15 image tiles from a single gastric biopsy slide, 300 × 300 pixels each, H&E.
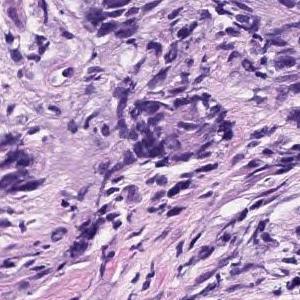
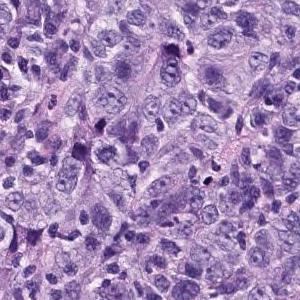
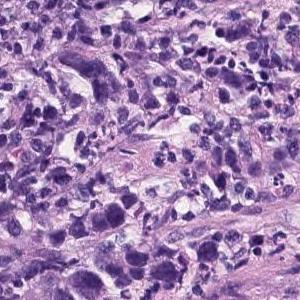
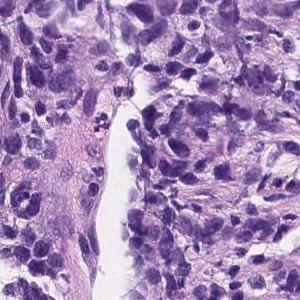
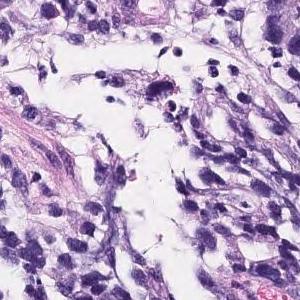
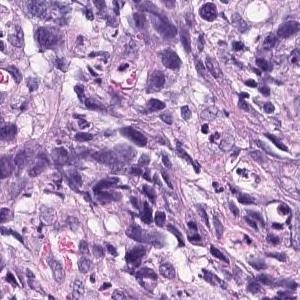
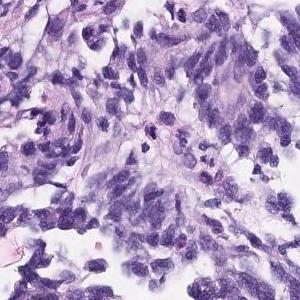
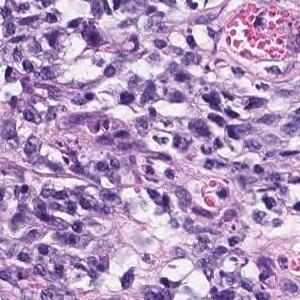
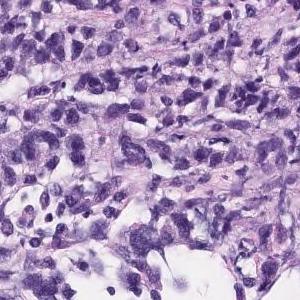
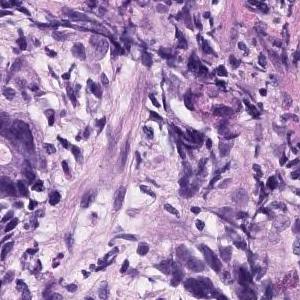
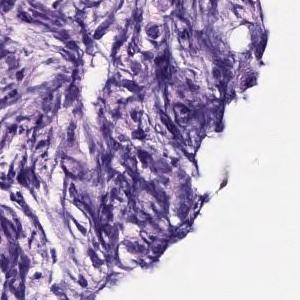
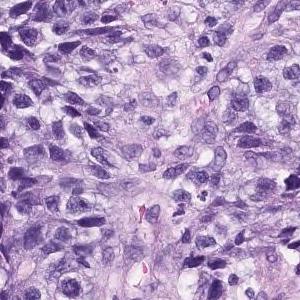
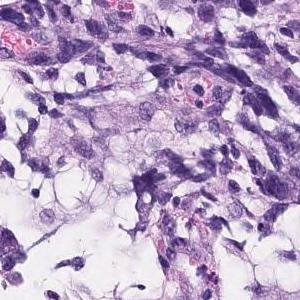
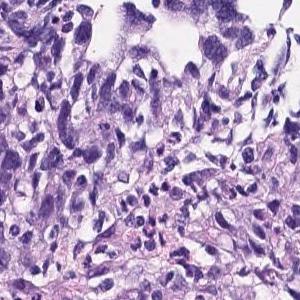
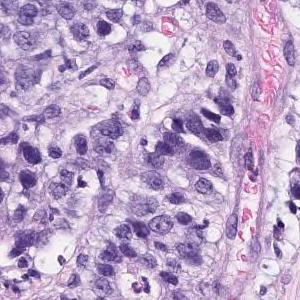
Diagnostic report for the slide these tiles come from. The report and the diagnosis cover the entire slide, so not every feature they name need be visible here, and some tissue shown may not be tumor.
The superficial epithelium shows a large sheet-like shape, and some tumor tissue infiltrates with small irregular ducts. Poorly differentiated adenocarcinoma, solid-type
Subtype: Poorly differentiated adenocarcinoma, solid type (Japanese Classification of Gastric Carcinoma). The WHO 2019 equivalent is tubular adenocarcinoma, poorly differentiated.
